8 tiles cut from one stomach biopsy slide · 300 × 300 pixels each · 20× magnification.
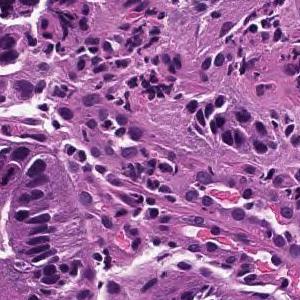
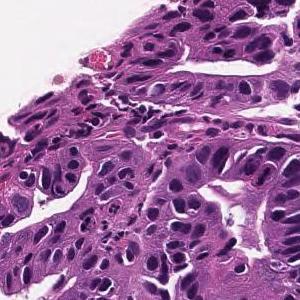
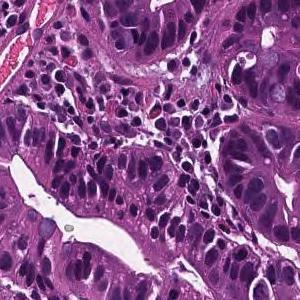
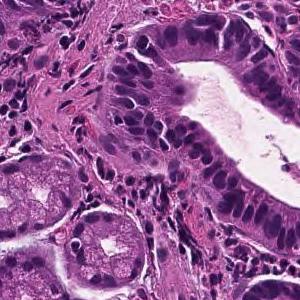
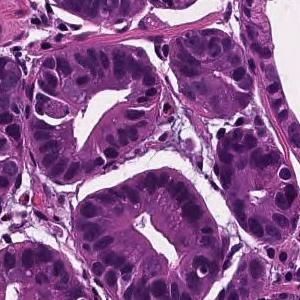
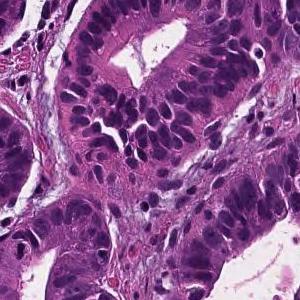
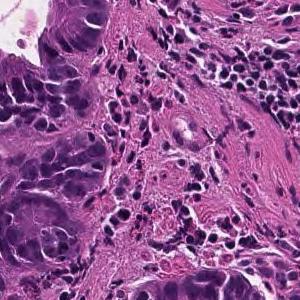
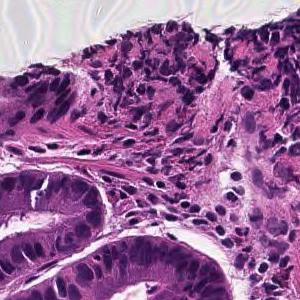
Diagnostic report for the slide these tiles come from. The report and the diagnosis cover the entire slide, so not every feature they name need be visible here, and some tissue shown may not be tumor.
From the superficial epithelium to the muscularis mucosae, tumor tissue consisting of medium-sized and irregular glandular ducts infiltrating is observed. Well differentiated tubular adenocarcinoma
